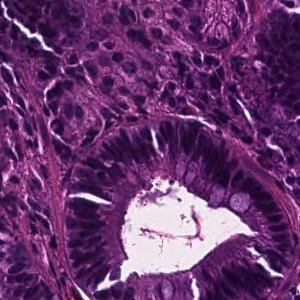
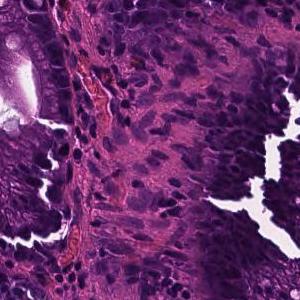
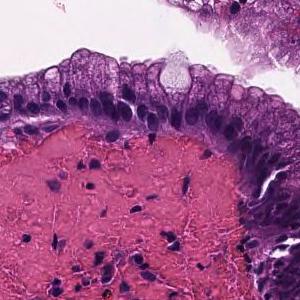
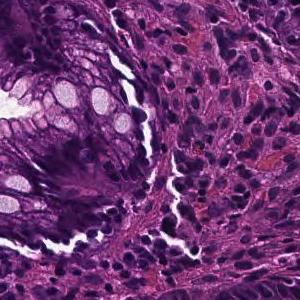
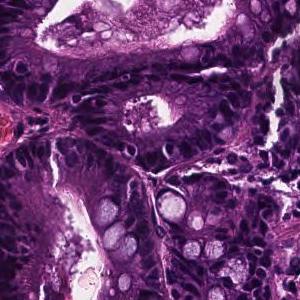
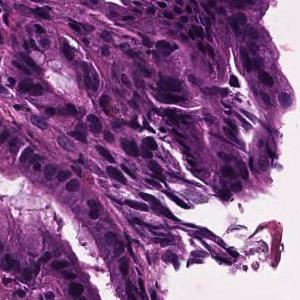
×20; H&E stain; 6 tiles from the same stomach biopsy slide; 300 × 300 pixels each.
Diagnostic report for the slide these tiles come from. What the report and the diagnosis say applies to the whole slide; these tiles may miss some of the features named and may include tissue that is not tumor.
In the superficial epithelium, tumor tissue that invades by forming medium-sized to small, irregular ducts is observed. Well differentiated tubular adenocarcinoma.
